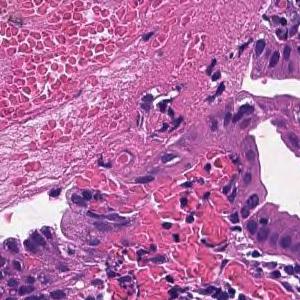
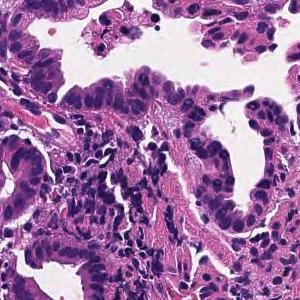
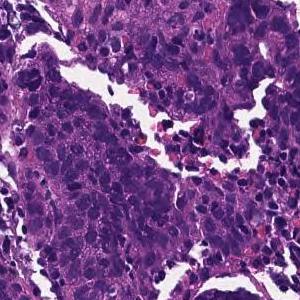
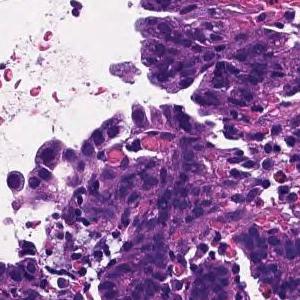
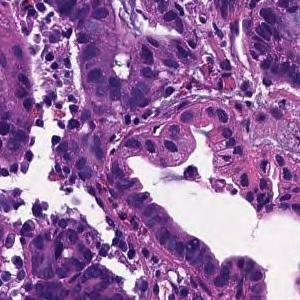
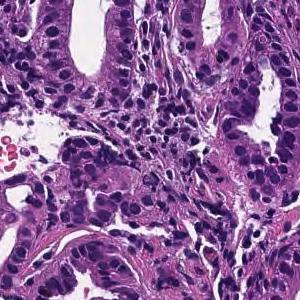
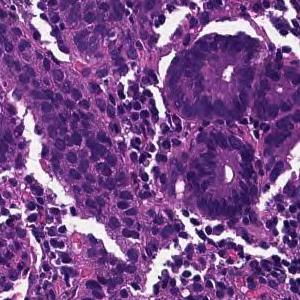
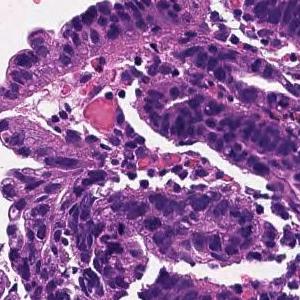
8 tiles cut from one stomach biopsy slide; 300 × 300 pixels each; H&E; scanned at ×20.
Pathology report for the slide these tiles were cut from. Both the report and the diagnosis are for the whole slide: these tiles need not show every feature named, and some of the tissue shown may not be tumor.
From the superficial epithelium to the muscularis mucosae, tumor tissue consisting of medium-sized and irregular glandular ducts infiltrating is observed. Well differentiated tubular adenocarcinoma
